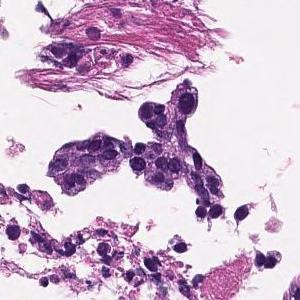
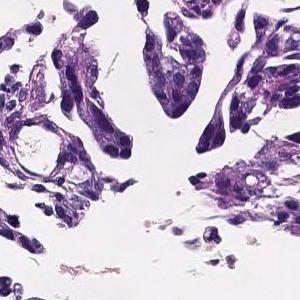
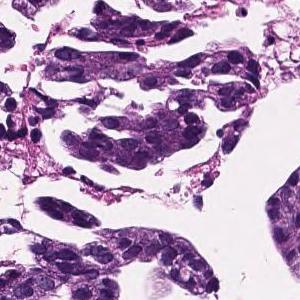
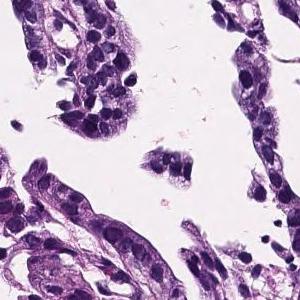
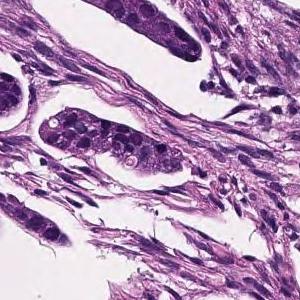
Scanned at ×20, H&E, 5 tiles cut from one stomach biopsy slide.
Pathology report for the biopsy slide these tiles were cut from. The report and the diagnosis describe the slide as a whole, so these tiles may not show every feature named and may include non-tumor tissue.
In the lamina propria, tumor tissue that invades by forming medium-sized to small, irregular glandular ducts is observed. moderately differentiated tubular adenocarcinoma
